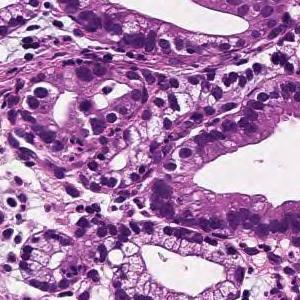
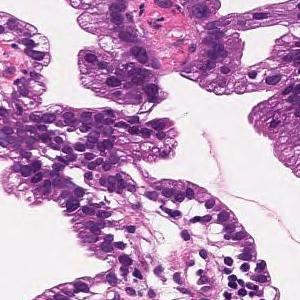
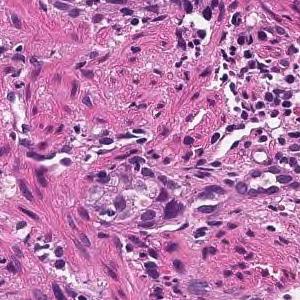
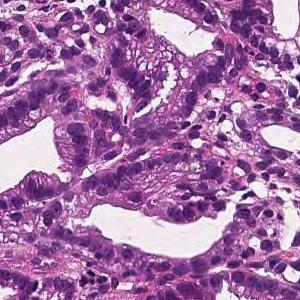
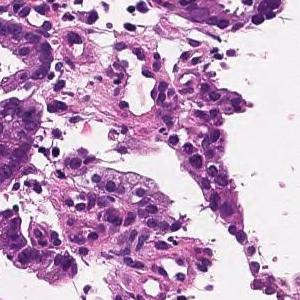
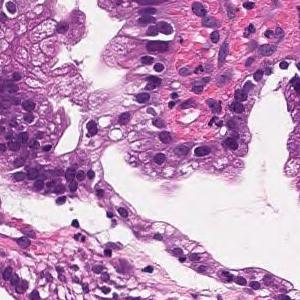
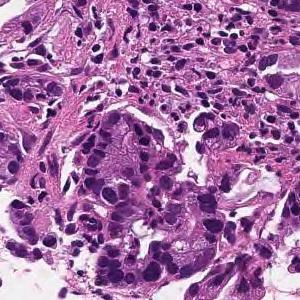
20× magnification · H&E · 7 image tiles from a single gastric biopsy slide · 300×300 px each.
Diagnostic report for the slide these tiles come from. The report describes the whole slide, diagnosis included: not every finding it names need appear in these tiles, which may also show non-tumor tissue.
On the superficial epithelium, tumor tissue that infiltrates by forming medium-sized papillary or small irregular ducts is observed. Papillary adenocarcinoma
